4 tiles from the same stomach biopsy slide · 300×300 px each · 20× magnification · H&E.
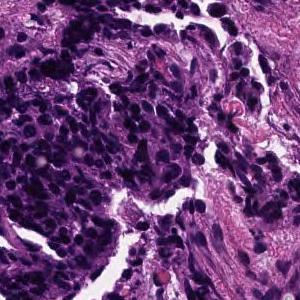
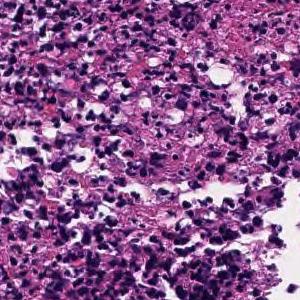
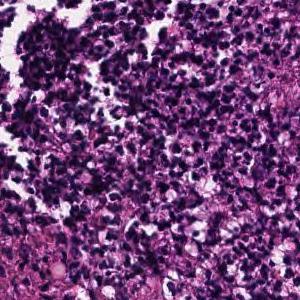
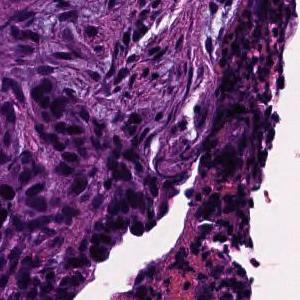
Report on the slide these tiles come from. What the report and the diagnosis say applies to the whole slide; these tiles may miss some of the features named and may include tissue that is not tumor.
In the superficial epithelium, tumor tissue that invades by forming medium-sized to small, irregular ducts is observed. moderately differentiated tubular adenocarcinoma.
